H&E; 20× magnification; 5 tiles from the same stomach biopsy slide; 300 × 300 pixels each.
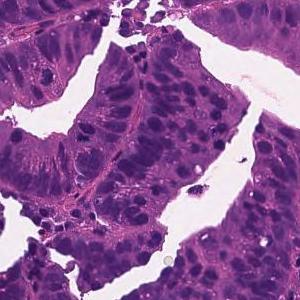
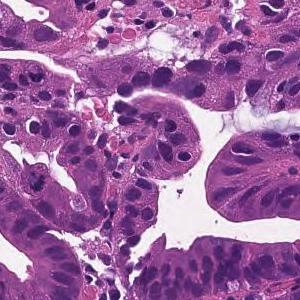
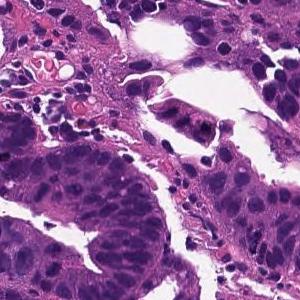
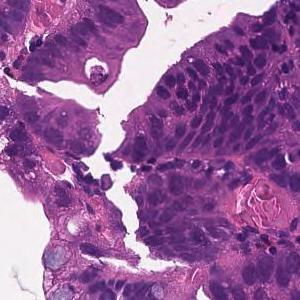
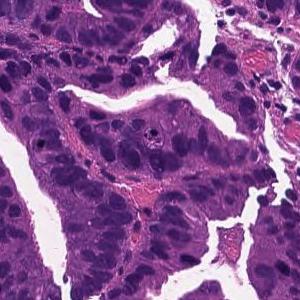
The pathologist's report on the biopsy slide these tiles were taken from. The findings and the diagnosis refer to the entire slide; these tiles show only part of it, possibly with non-tumor tissue, and may not show every feature named.
From the superficial epithelium to the muscularis mucosae, tumor tissue consisting of medium-sized and irregular glandular ducts infiltrating is observed. Well differentiated tubular adenocarcinoma
